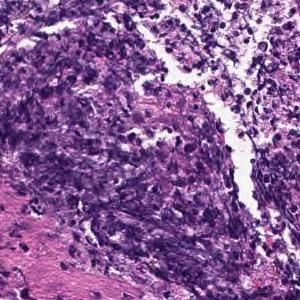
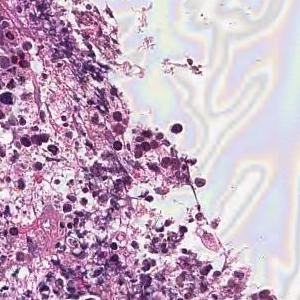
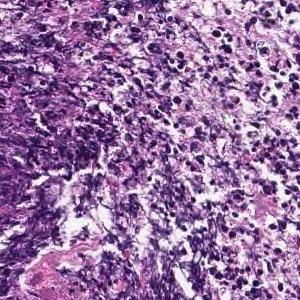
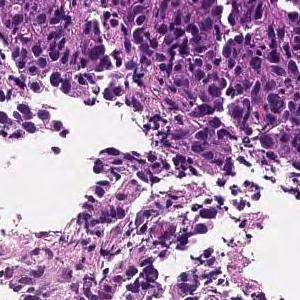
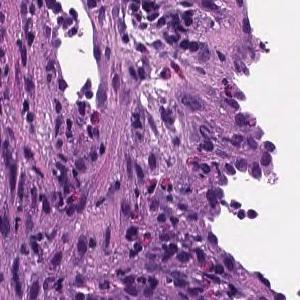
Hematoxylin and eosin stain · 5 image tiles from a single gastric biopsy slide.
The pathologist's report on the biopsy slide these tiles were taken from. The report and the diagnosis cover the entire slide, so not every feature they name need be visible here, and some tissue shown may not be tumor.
In the superficial epithelium, tumor tissue that invades by forming medium-sized to small, irregular ducts is observed. moderately differentiated tubular adenocarcinoma.
